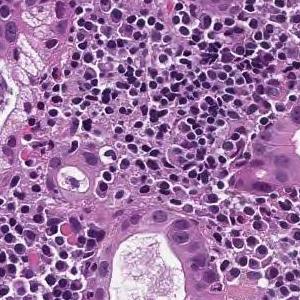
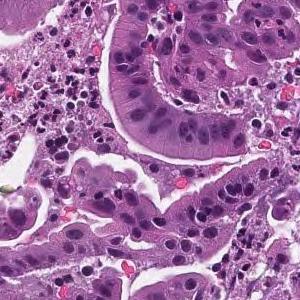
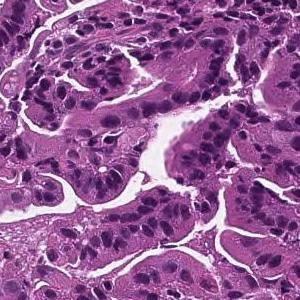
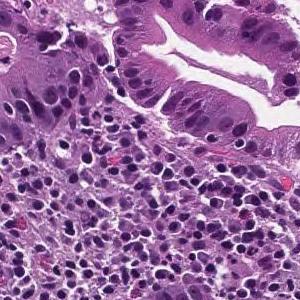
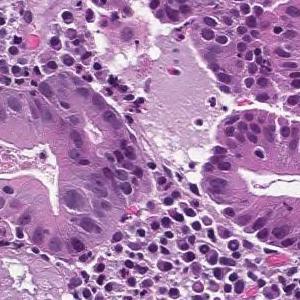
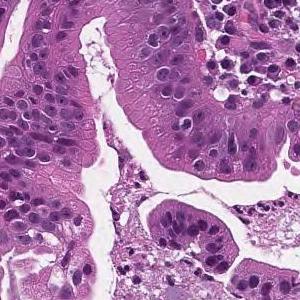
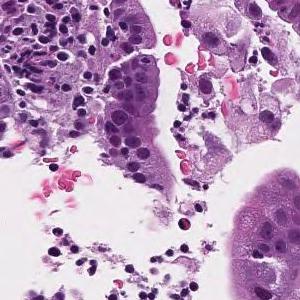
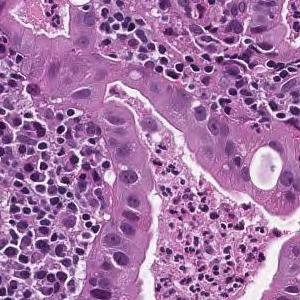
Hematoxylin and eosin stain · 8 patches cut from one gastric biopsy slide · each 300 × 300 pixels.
Pathology report for the slide these tiles were cut from. The report and the diagnosis cover the entire slide, so not every feature they name need be visible here, and some tissue shown may not be tumor.
From the superficial epithelium to the muscularis mucosae, tumor tissue consisting of medium-sized and irregular glandular ducts infiltrating is observed. Well differentiated tubular adenocarcinoma
